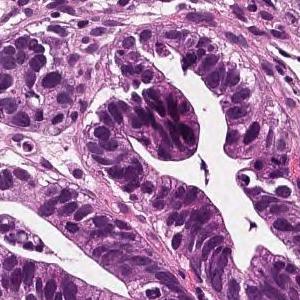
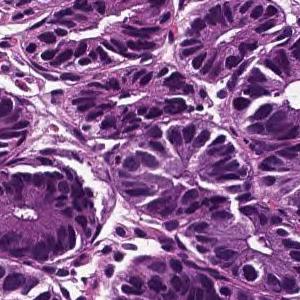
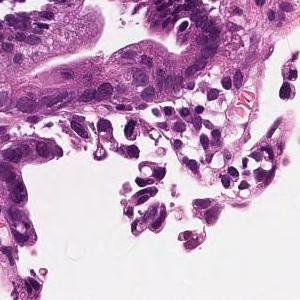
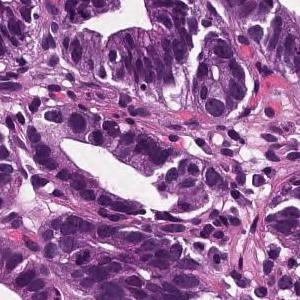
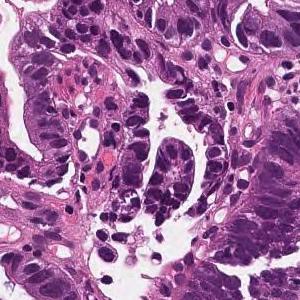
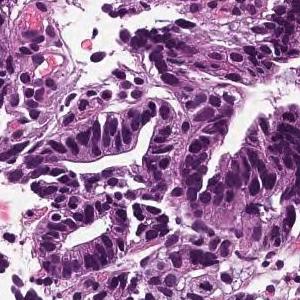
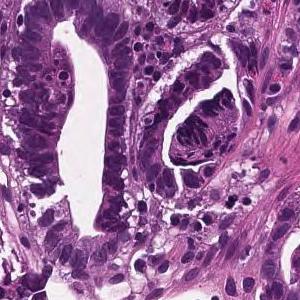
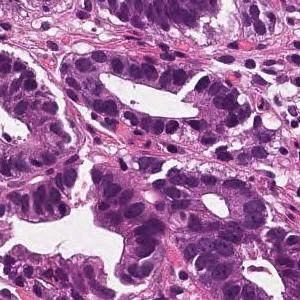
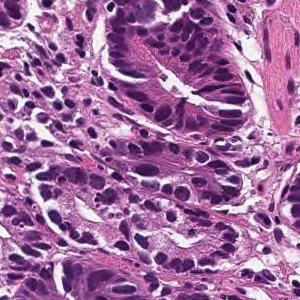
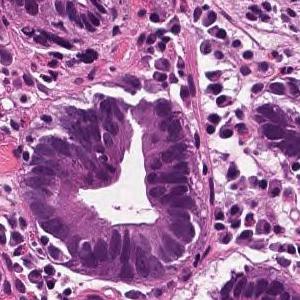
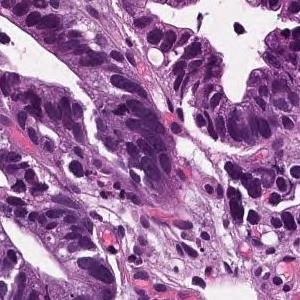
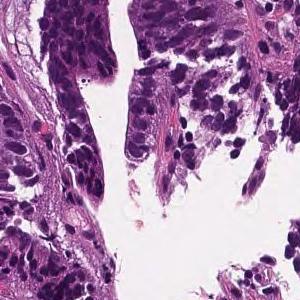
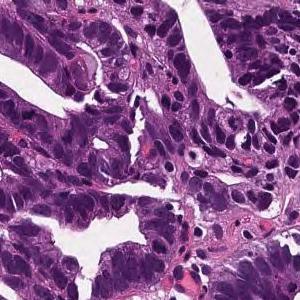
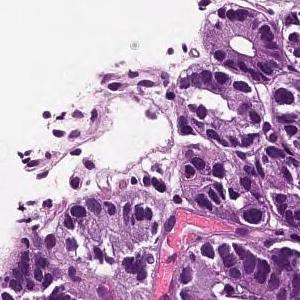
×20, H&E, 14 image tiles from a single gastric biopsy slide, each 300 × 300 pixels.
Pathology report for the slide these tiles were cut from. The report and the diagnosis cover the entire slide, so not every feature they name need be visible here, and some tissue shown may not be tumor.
From the superficial epithelium to the muscularis mucosae, tumor tissue consisting of medium-sized and irregular glandular ducts infiltrating is observed. Well differentiated tubular adenocarcinoma
